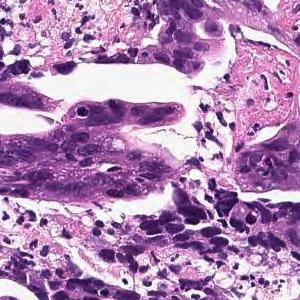
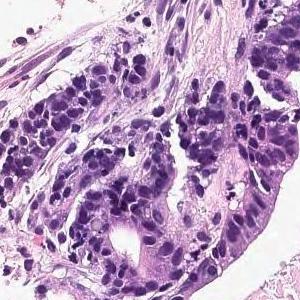
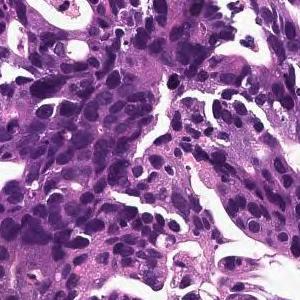
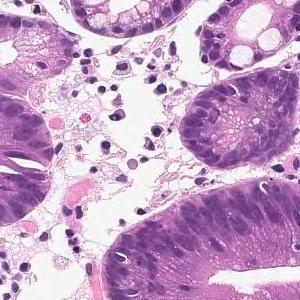
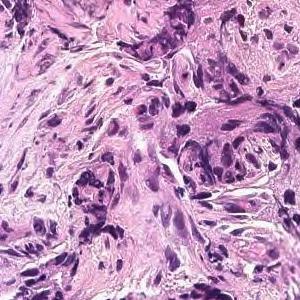
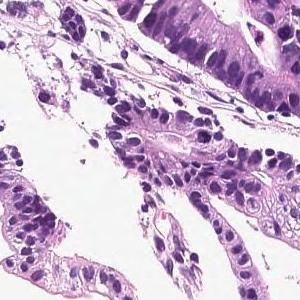
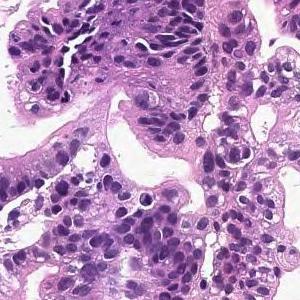
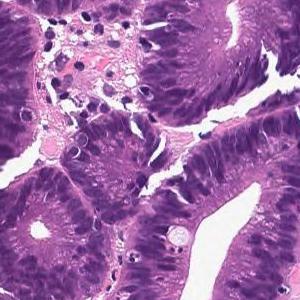
8 tiles cut from one stomach biopsy slide; scanned at ×20; H&E.
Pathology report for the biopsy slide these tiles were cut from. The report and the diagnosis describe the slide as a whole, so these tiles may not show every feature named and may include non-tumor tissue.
In the superficial epithelium, tumor tissue that invades by forming medium-sized to small, irregular ducts is observed. moderately differentiated tubular adenocarcinoma.
